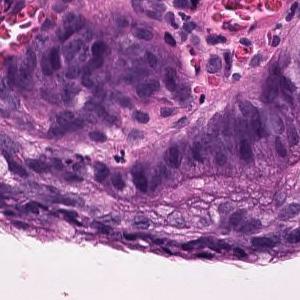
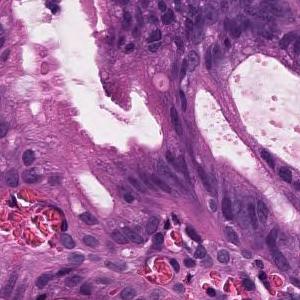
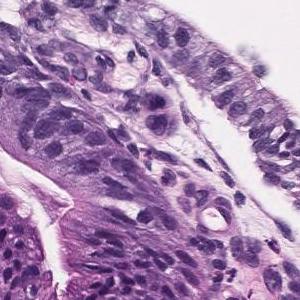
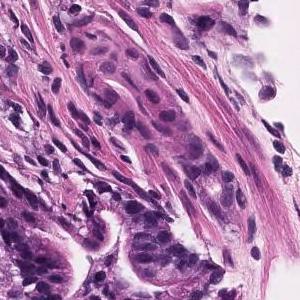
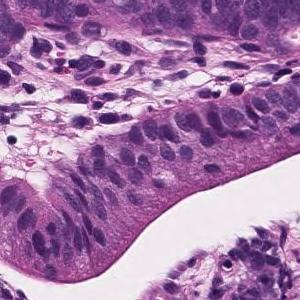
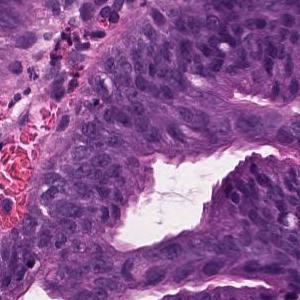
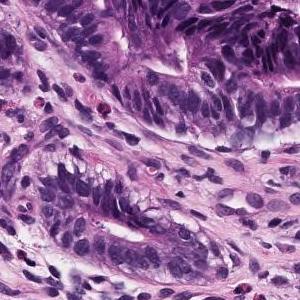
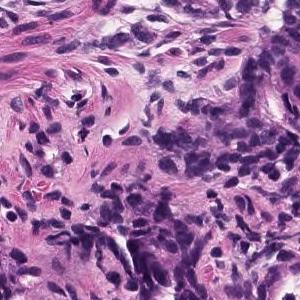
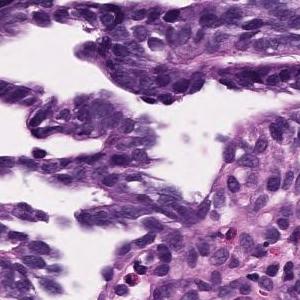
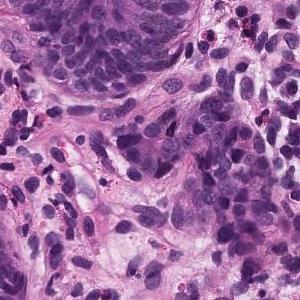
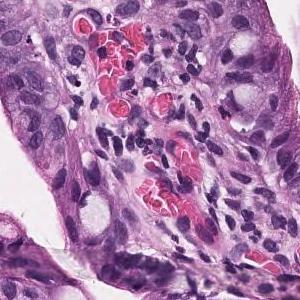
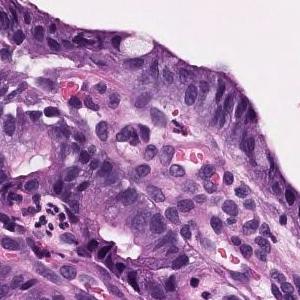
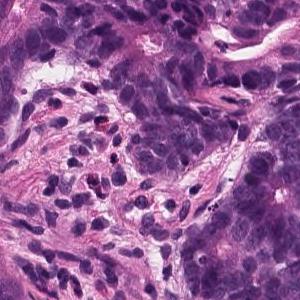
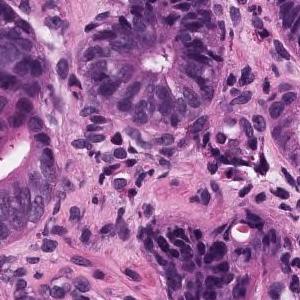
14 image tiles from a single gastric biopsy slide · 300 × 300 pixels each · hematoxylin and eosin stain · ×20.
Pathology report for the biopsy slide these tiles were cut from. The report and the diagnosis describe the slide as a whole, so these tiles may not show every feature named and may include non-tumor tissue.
Atypical ducts proliferating while irregularly fusing in the lateral direction is observed. Well differentiated tubular adenocarcinoma
